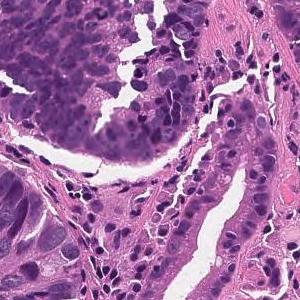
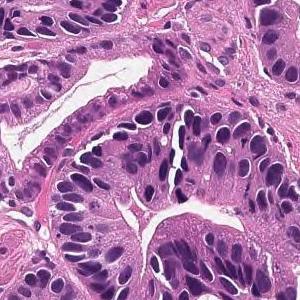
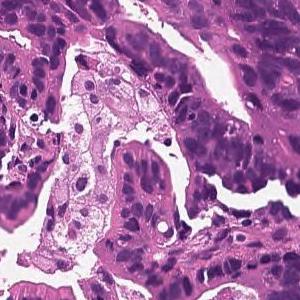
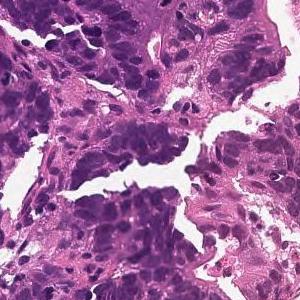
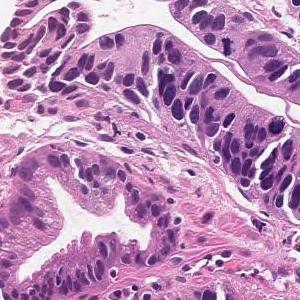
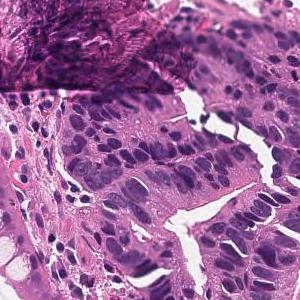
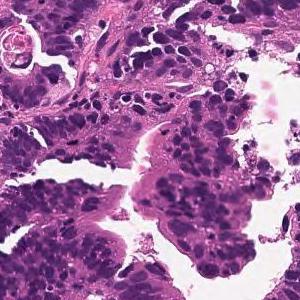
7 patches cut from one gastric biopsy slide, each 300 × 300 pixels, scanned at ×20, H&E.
Pathology report for the biopsy slide these tiles were cut from. The report and the diagnosis describe the slide as a whole, so these tiles may not show every feature named and may include non-tumor tissue.
Tumor cells are large, highly columnar, large club-shaped nuclei, and are associated with chromatin aggregation. Papillary adenocarcinoma.
